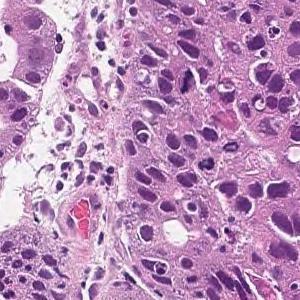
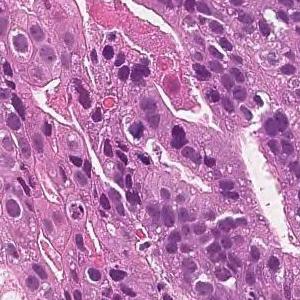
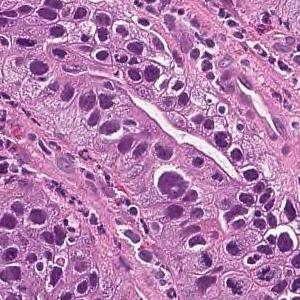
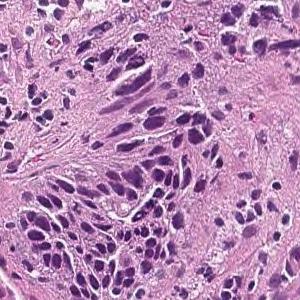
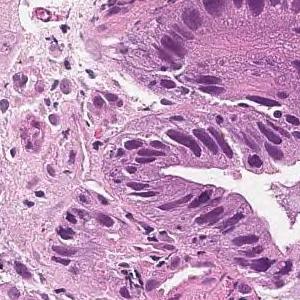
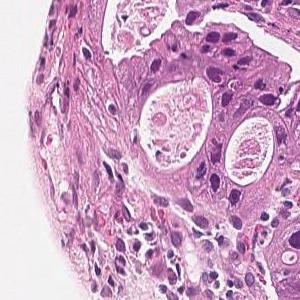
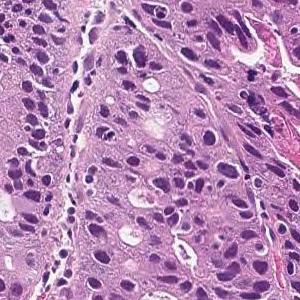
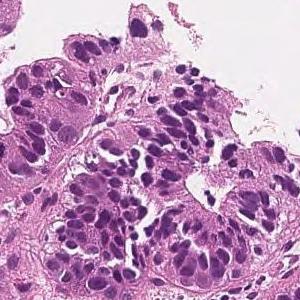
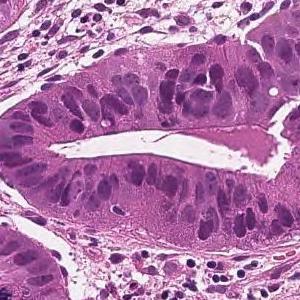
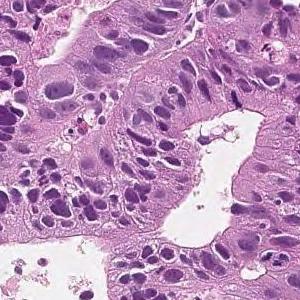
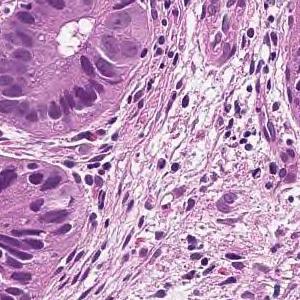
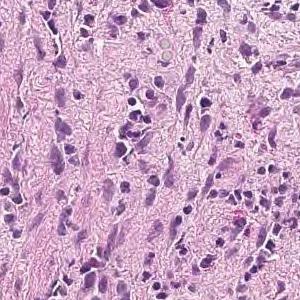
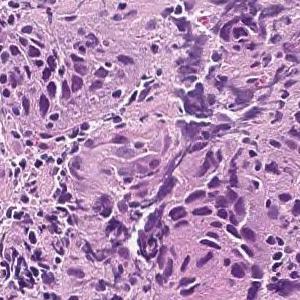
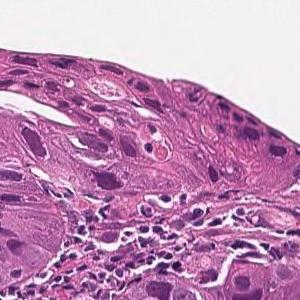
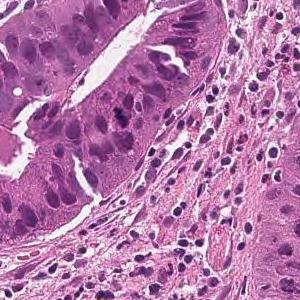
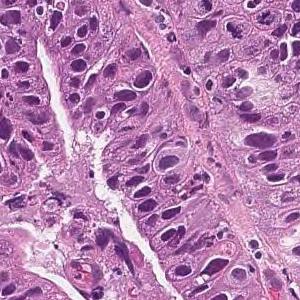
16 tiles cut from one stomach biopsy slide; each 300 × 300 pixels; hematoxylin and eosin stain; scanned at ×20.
Report on the slide these tiles come from. The report and the diagnosis describe the slide as a whole, so these tiles may not show every feature named and may include non-tumor tissue.
In the superficial epithelium, tumor tissue that invades by forming medium-sized to small, irregular ducts is observed. moderately differentiated tubular adenocarcinoma.
